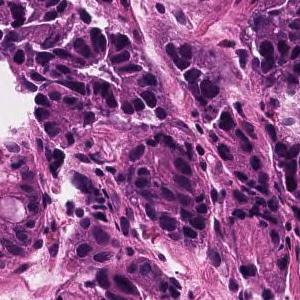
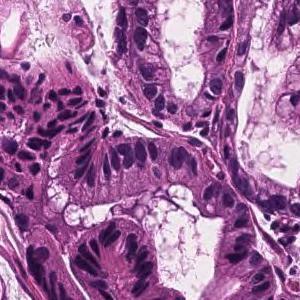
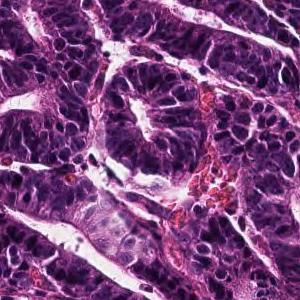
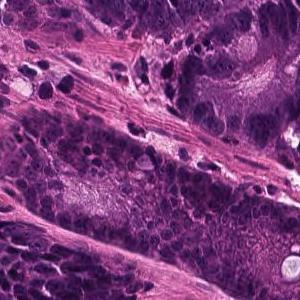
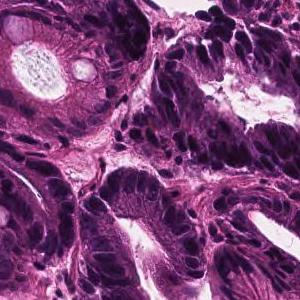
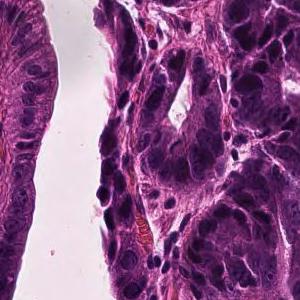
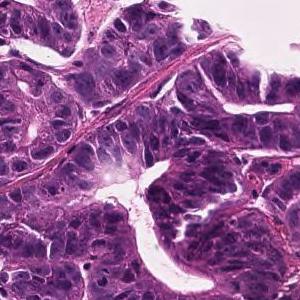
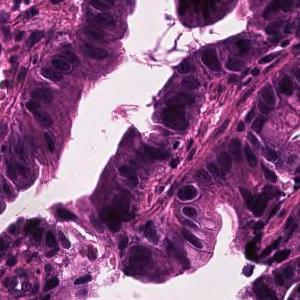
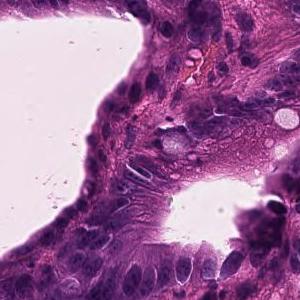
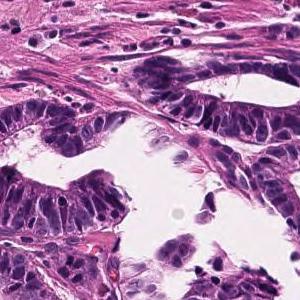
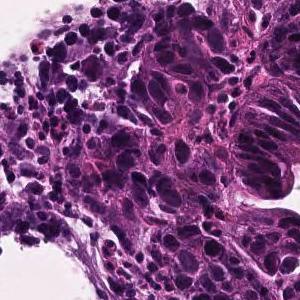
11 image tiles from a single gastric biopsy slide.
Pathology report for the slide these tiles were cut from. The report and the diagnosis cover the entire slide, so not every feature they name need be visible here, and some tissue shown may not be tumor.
In the superficial epithelium, tumor tissue that invades by forming medium-sized to small, irregular ducts is observed. Well differentiated tubular adenocarcinoma.
